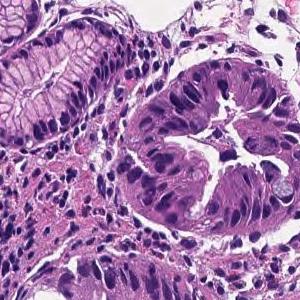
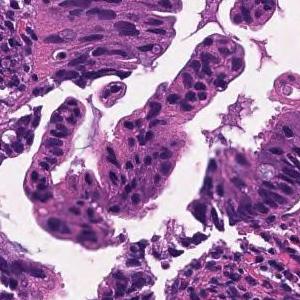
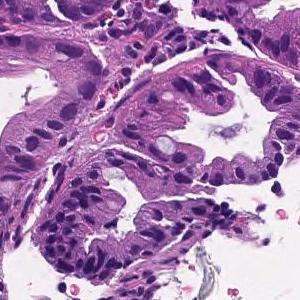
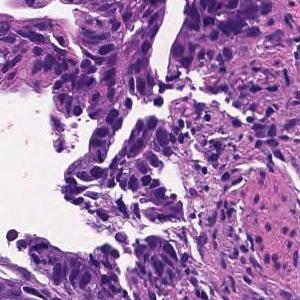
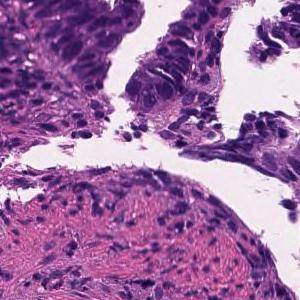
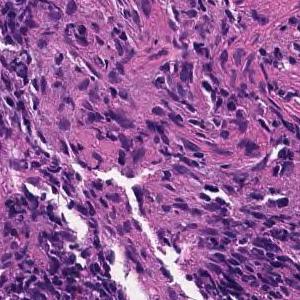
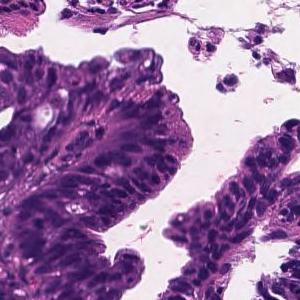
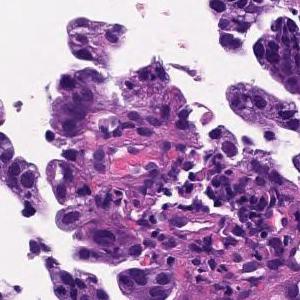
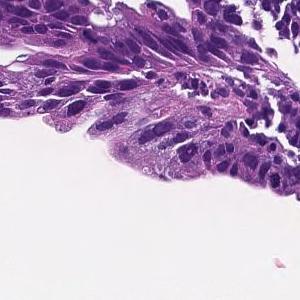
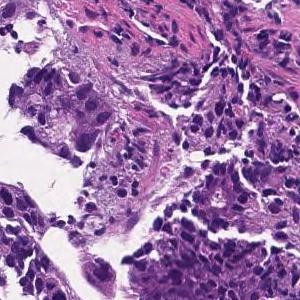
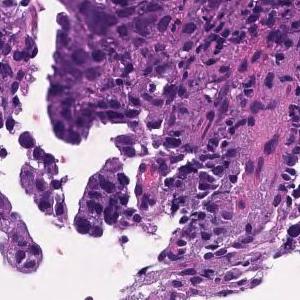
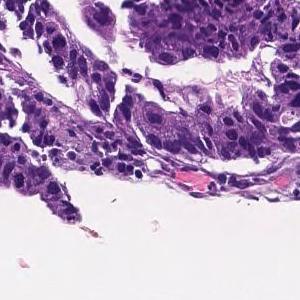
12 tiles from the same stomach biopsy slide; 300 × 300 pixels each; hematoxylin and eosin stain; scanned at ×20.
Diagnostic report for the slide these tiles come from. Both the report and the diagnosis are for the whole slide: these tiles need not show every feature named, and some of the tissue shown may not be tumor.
On the superficial epithelium, tumor tissue that infiltrates by forming medium-sized papillary or small irregular ducts is observed. Papillary adenocarcinoma
